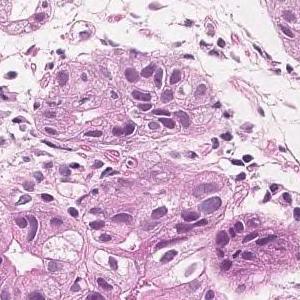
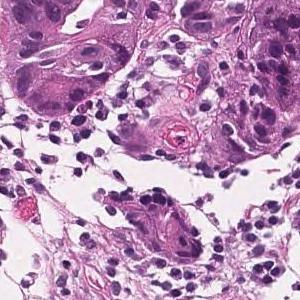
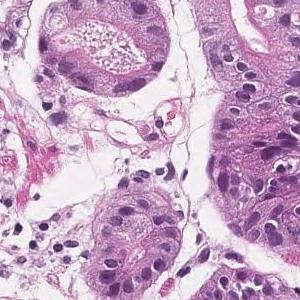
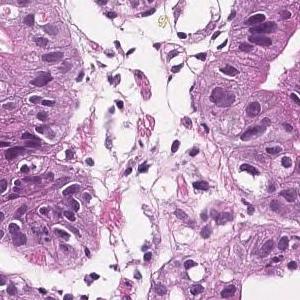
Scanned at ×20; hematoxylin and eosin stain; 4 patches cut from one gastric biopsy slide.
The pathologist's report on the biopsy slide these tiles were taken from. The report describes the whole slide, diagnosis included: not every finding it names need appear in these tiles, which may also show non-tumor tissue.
On the superficial epithelium, tumor tissue consisting of medium-sized and irregular gland ducts infiltrated is observed. Well differentiated tubular adenocarcinoma
